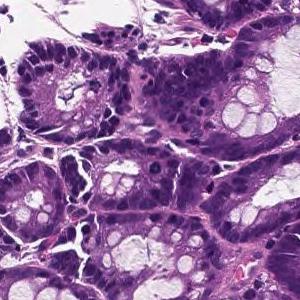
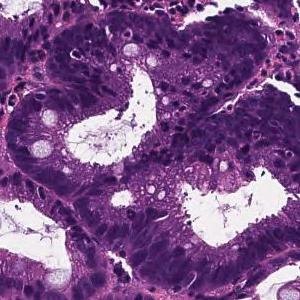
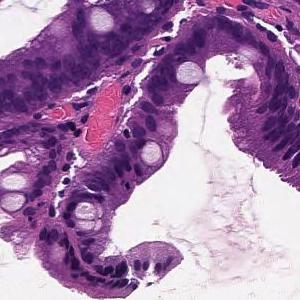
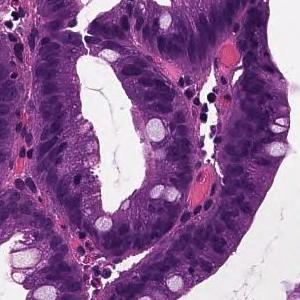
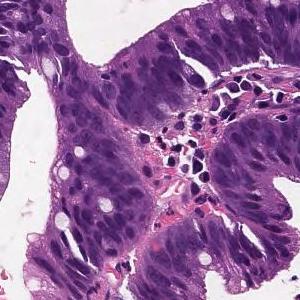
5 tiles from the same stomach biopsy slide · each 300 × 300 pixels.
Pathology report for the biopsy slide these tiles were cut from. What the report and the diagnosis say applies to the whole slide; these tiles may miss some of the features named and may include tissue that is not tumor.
moderately differentiated tubular adenocarcinoma infiltrates in the submucosa massively.
Histological subtype: Moderately differentiated tubular adenocarcinoma.
